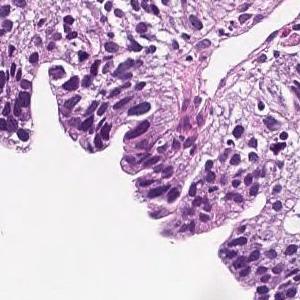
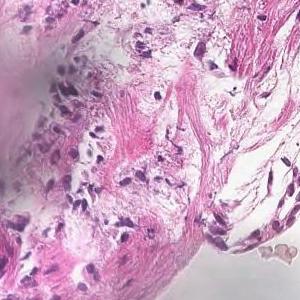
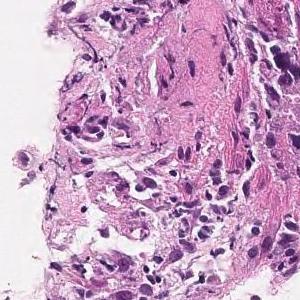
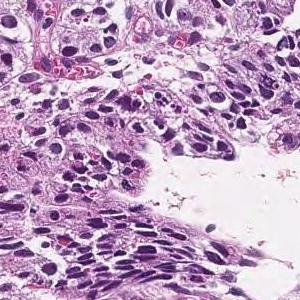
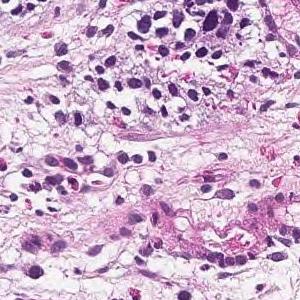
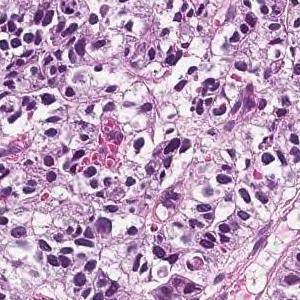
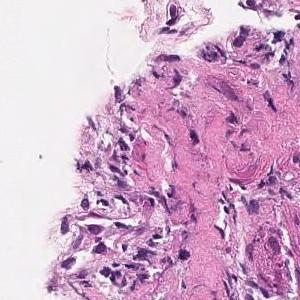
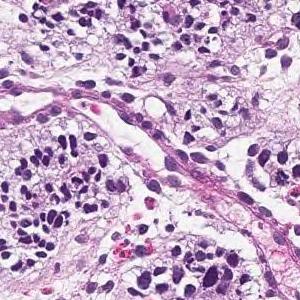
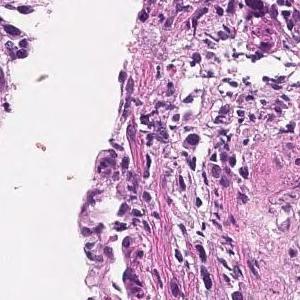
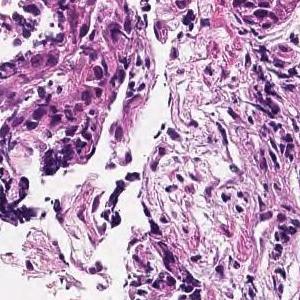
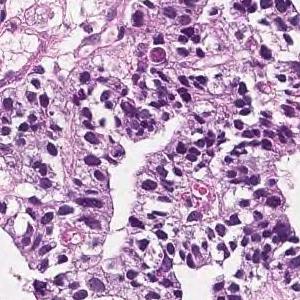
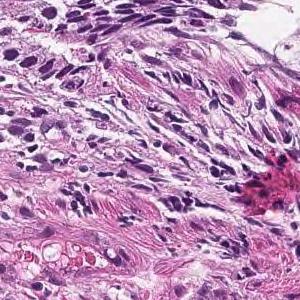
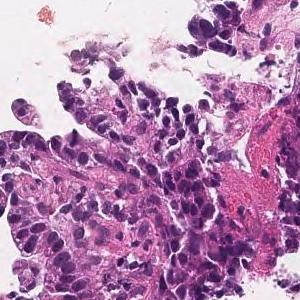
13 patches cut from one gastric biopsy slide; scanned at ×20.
Pathology report for the biopsy slide these tiles were cut from. What the report and the diagnosis say applies to the whole slide; these tiles may miss some of the features named and may include tissue that is not tumor.
In the superficial epithelium, tumor tissue that invades by forming medium-sized to small, irregular ducts is observed. moderately differentiated tubular adenocarcinoma.
